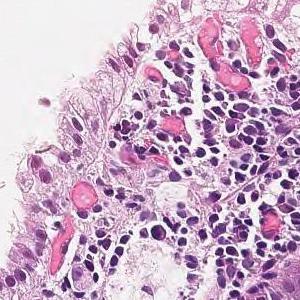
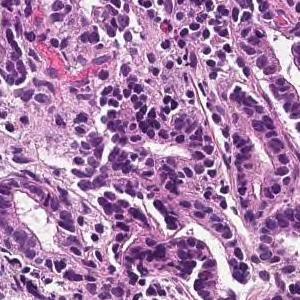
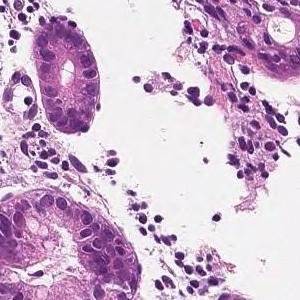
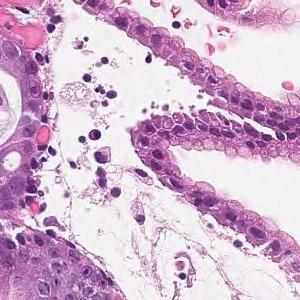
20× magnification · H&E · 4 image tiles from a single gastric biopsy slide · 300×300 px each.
Diagnostic report for the slide these tiles come from. The report and the diagnosis cover the entire slide, so not every feature they name need be visible here, and some tissue shown may not be tumor.
In the superficial epithelium, tumor tissue that invades by forming medium-sized to small, irregular ducts is observed. moderately differentiated tubular adenocarcinoma.
